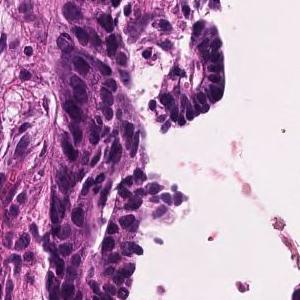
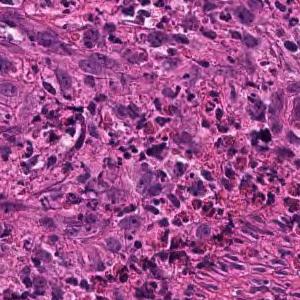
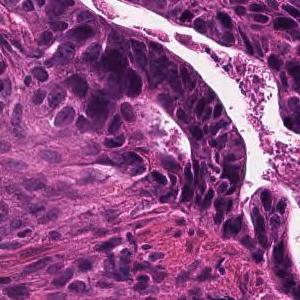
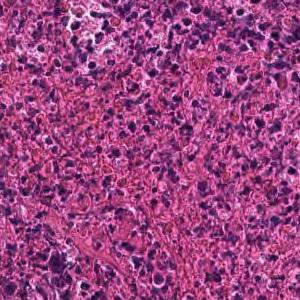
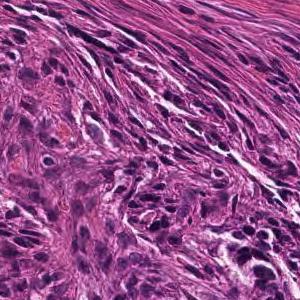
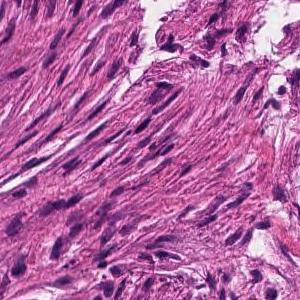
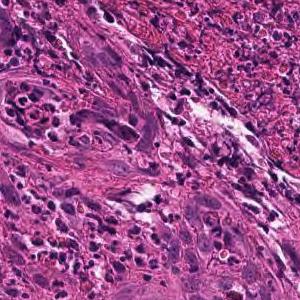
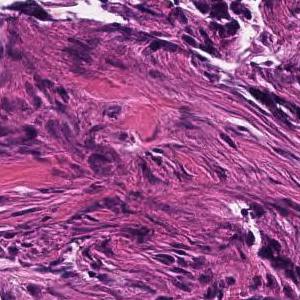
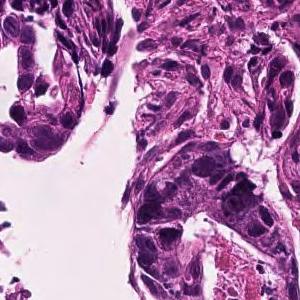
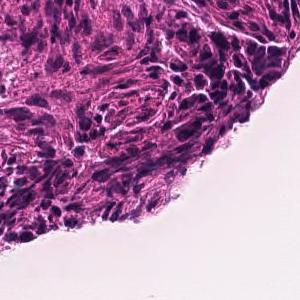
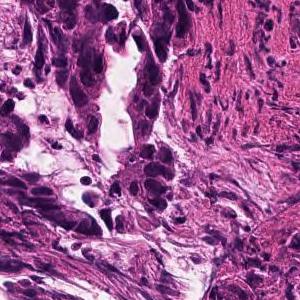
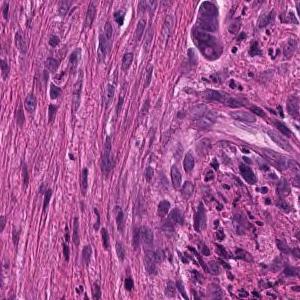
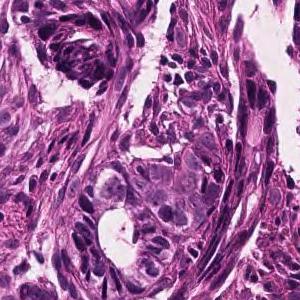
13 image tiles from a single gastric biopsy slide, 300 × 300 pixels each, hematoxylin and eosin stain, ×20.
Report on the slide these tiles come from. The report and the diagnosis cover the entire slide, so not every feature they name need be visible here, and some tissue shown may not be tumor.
In the superficial epithelium, tumor tissue that invades by forming medium-sized to small, irregular ducts is observed. moderately differentiated tubular adenocarcinoma.
